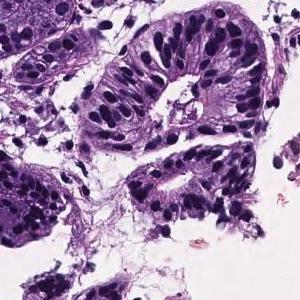
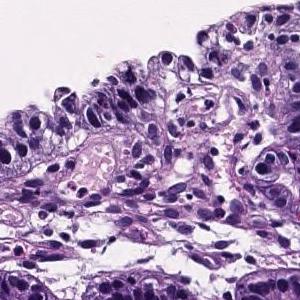
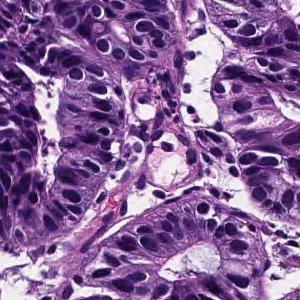
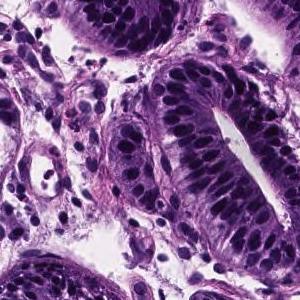
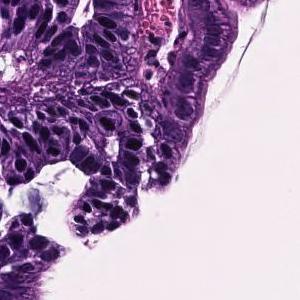
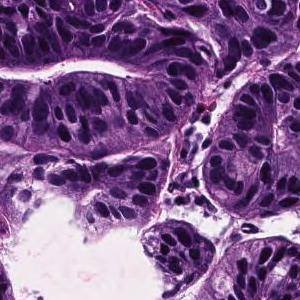
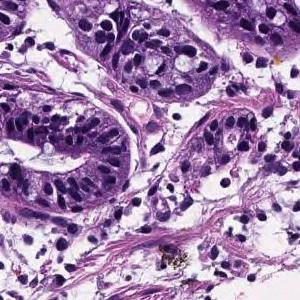
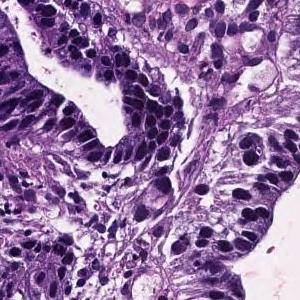
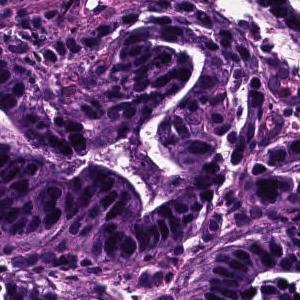
Scanned at ×20 · hematoxylin and eosin stain · 9 patches cut from one gastric biopsy slide.
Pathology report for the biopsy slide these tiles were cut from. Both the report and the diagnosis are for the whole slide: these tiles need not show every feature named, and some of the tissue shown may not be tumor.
On the superficial epithelium, tumor tissue consisting of medium-sized to large-sized, round or irregular glandular duct growth images is observed. Well differentiated tubular adenocarcinoma
